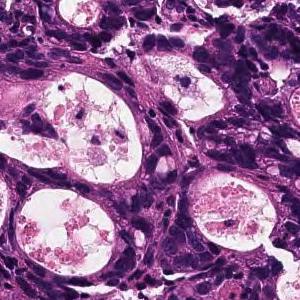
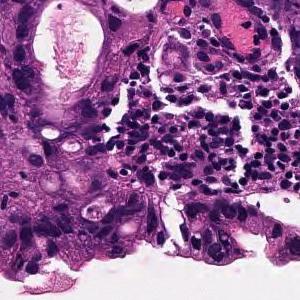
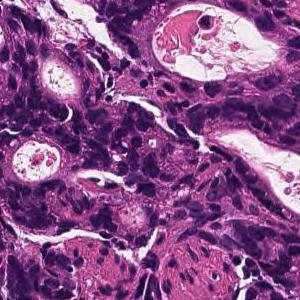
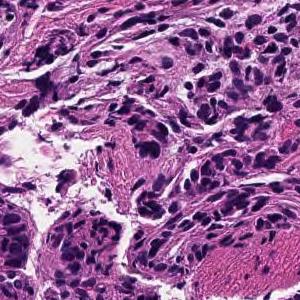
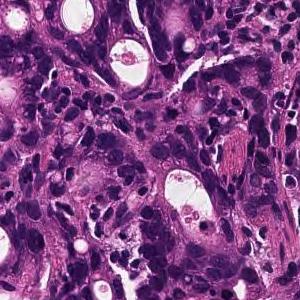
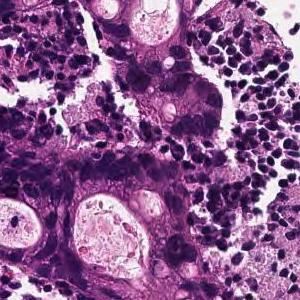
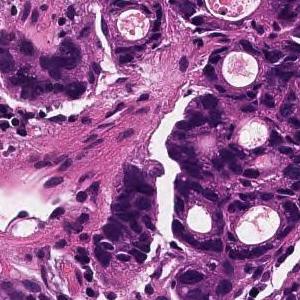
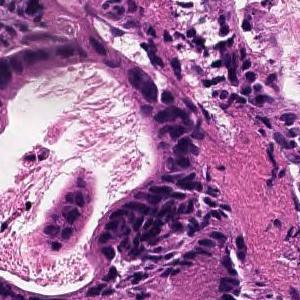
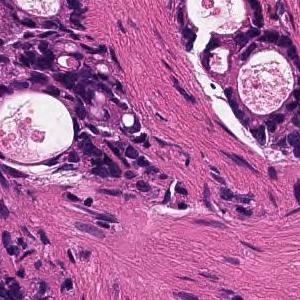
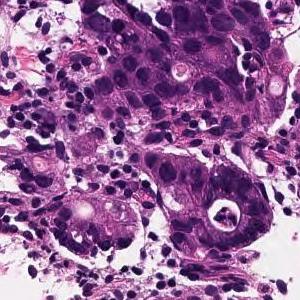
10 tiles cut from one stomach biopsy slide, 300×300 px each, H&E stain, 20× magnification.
Report on the slide these tiles come from. Both the report and the diagnosis are for the whole slide: these tiles need not show every feature named, and some of the tissue shown may not be tumor.
In the superficial epithelium, tumor tissue that invades by forming medium-sized to small, irregular ducts is observed. moderately differentiated tubular adenocarcinoma.
